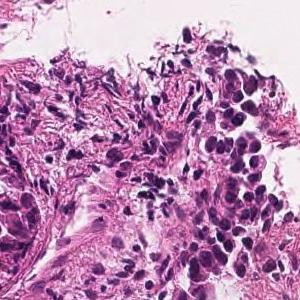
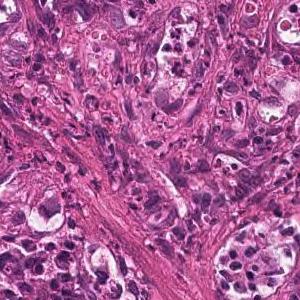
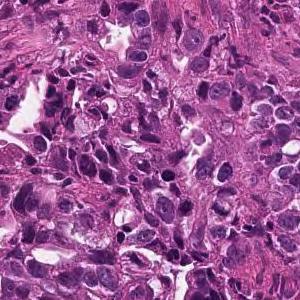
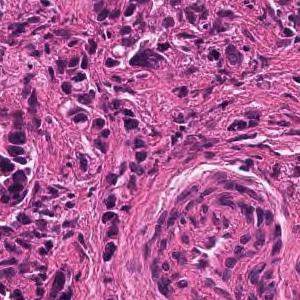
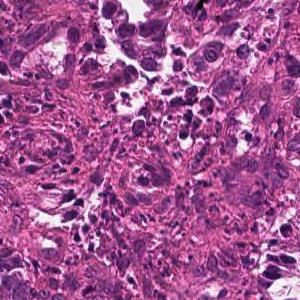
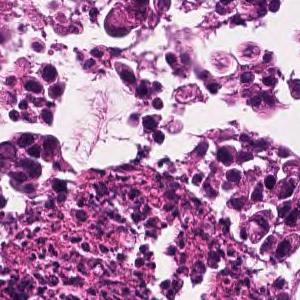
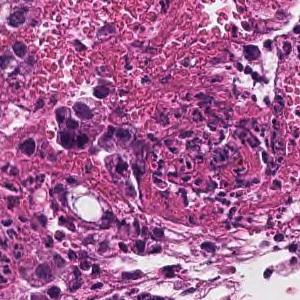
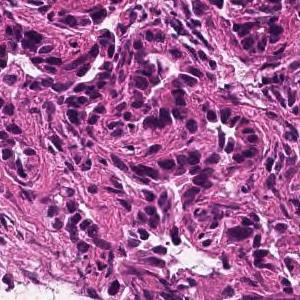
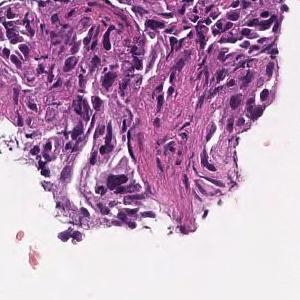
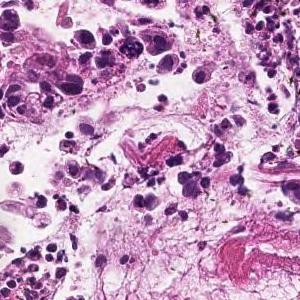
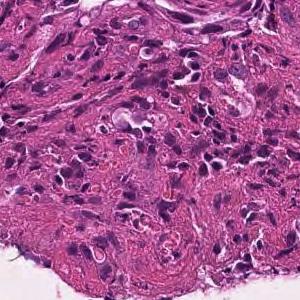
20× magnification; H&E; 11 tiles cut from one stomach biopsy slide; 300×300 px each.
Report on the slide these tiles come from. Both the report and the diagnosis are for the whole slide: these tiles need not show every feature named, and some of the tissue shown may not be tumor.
In the superficial epithelium, tumor tissue that invades by forming medium-sized to small, irregular ducts is observed. moderately differentiated tubular adenocarcinoma.
